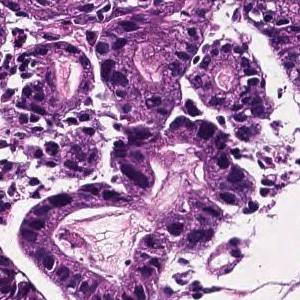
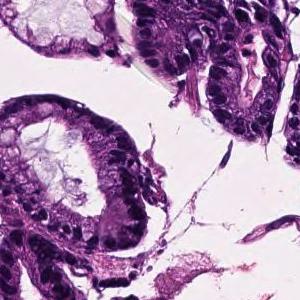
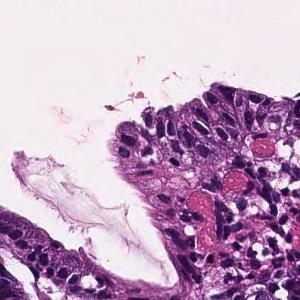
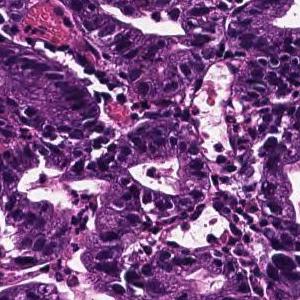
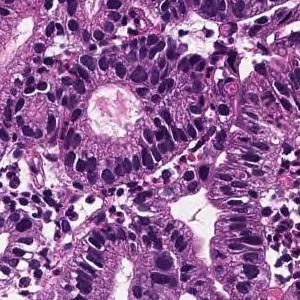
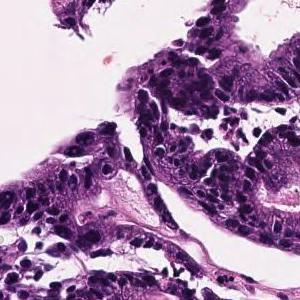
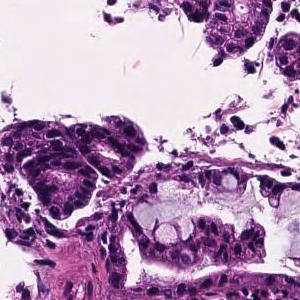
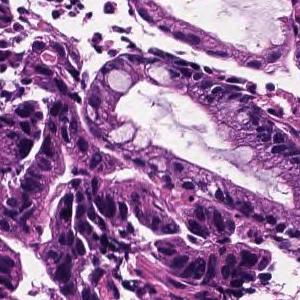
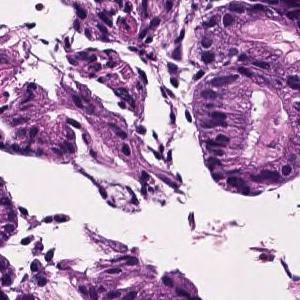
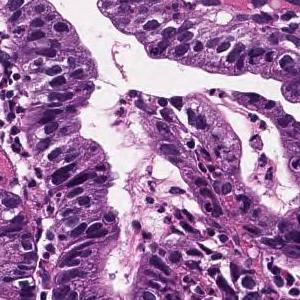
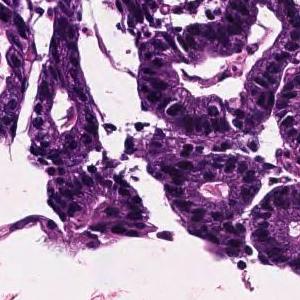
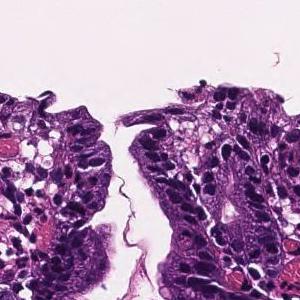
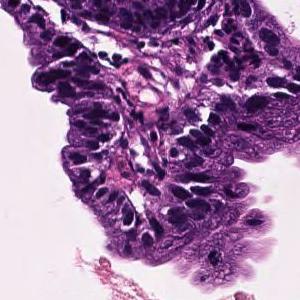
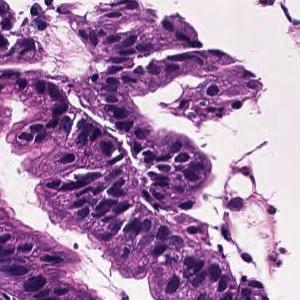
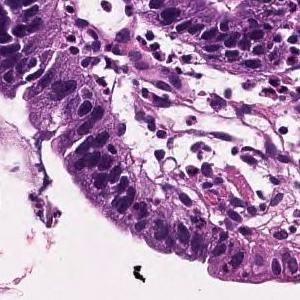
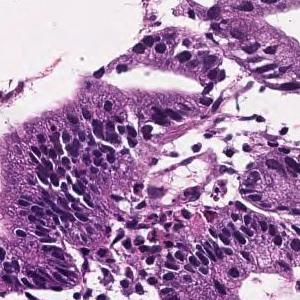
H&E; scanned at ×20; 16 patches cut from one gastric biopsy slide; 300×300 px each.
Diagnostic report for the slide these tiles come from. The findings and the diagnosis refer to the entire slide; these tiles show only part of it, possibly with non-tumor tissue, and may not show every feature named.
On the superficial epithelium, tumor tissue that infiltrates by forming medium-sized papillary or small irregular ducts is observed. Papillary adenocarcinoma
